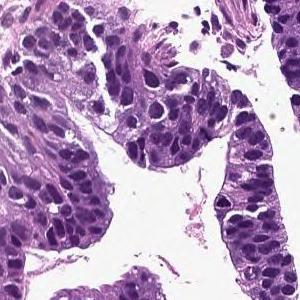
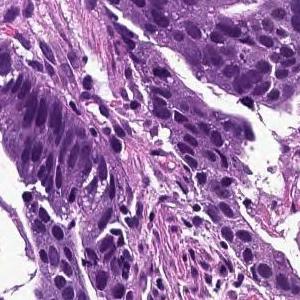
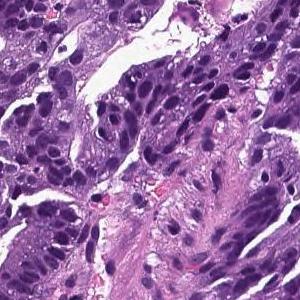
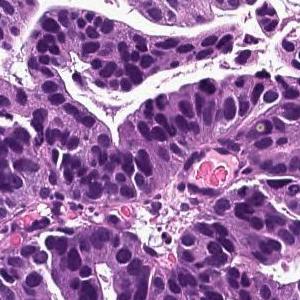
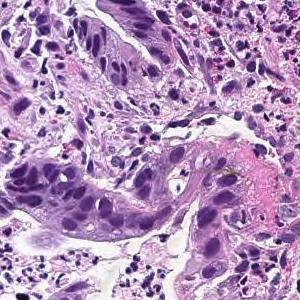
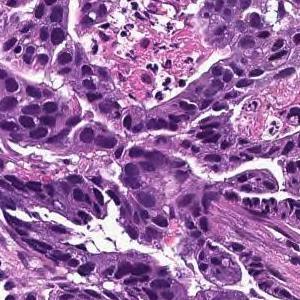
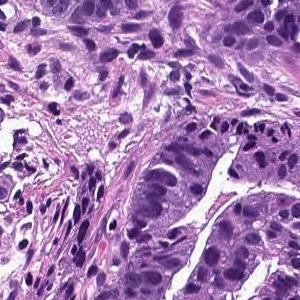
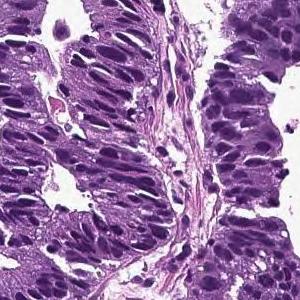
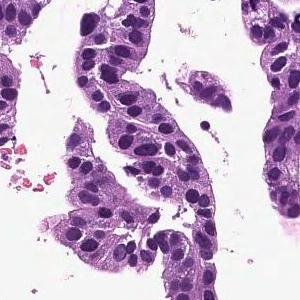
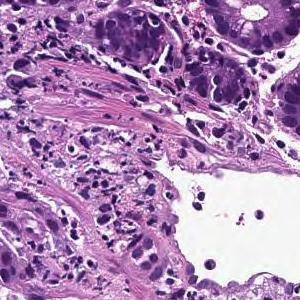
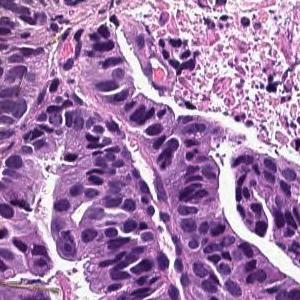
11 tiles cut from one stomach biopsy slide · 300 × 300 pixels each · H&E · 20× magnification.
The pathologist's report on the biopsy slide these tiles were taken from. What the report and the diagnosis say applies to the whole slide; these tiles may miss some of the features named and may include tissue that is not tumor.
Tumor cells are large, highly columnar, large club-shaped nuclei, and are associated with chromatin aggregation. Papillary adenocarcinoma.
